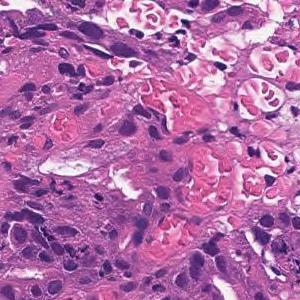
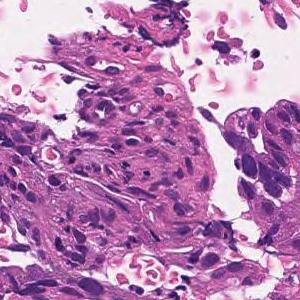
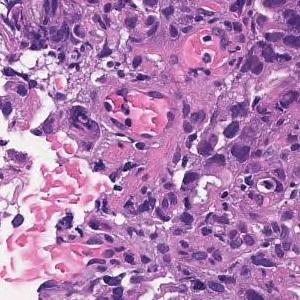
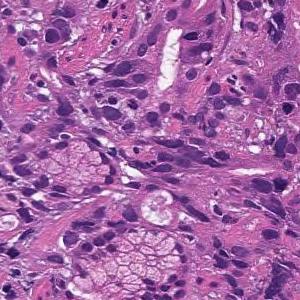
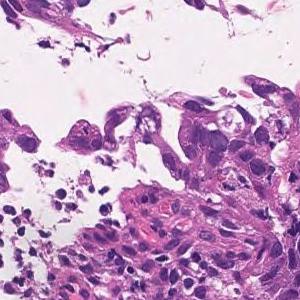
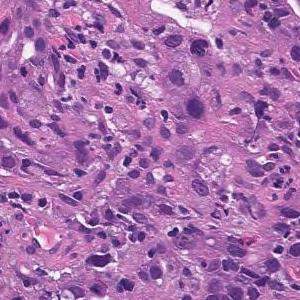
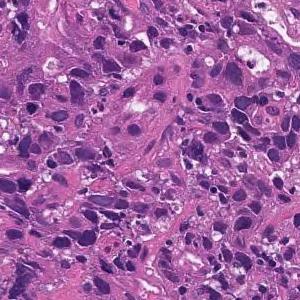
Hematoxylin and eosin stain; 7 tiles from the same stomach biopsy slide; 300×300 px each.
Report on the slide these tiles come from. The report and the diagnosis describe the slide as a whole, so these tiles may not show every feature named and may include non-tumor tissue.
In the superficial epithelium, tumor tissue that invades by forming medium-sized to small, irregular ducts is observed. moderately differentiated tubular adenocarcinoma.
